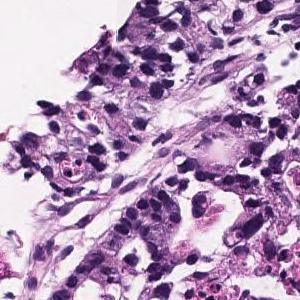
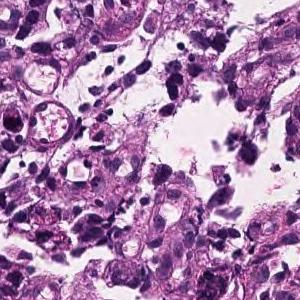
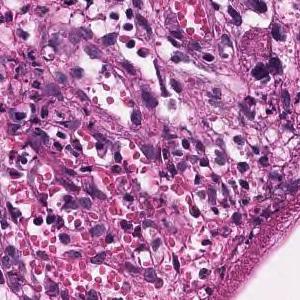
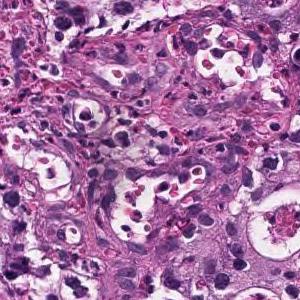
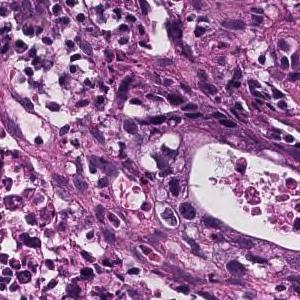
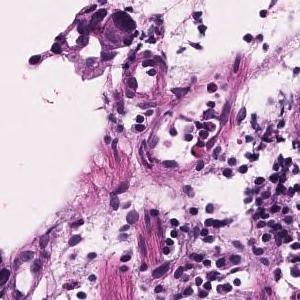
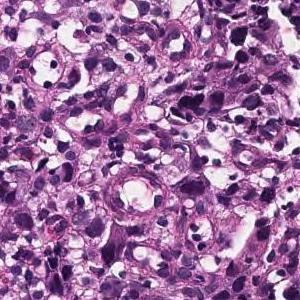
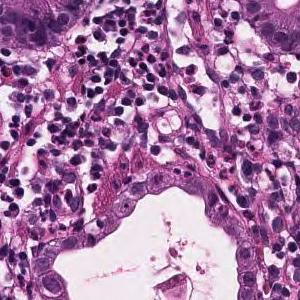
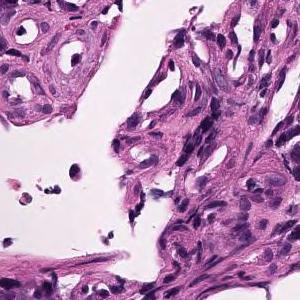
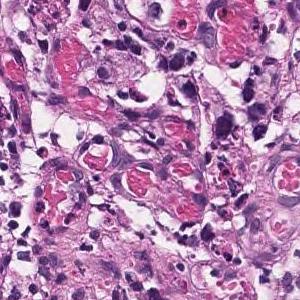
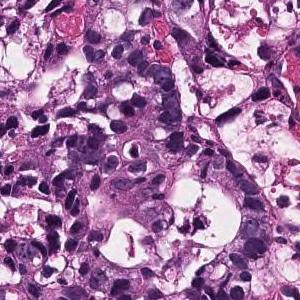
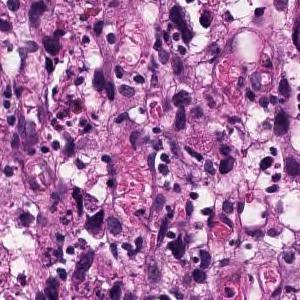
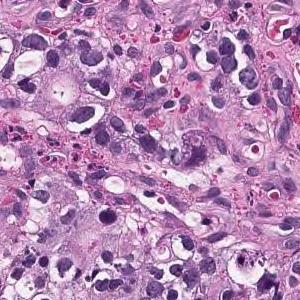
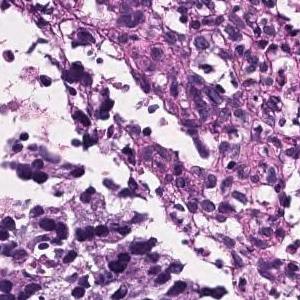
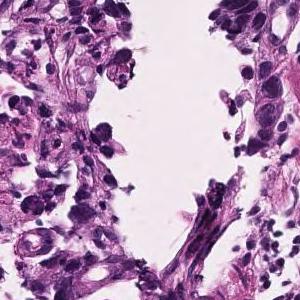
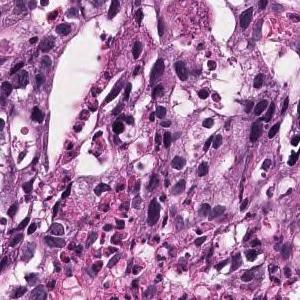
20× magnification · 16 tiles cut from one stomach biopsy slide · 300×300 px each.
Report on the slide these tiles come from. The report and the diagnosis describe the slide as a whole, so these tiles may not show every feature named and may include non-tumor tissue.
Tumor tissue consisting of medium-sized, cord-like or irregular glandular infiltration is observed in the superficial epithelium. Poorly differentiated adenocarcinoma, non-solid type or moderately differentiated tubular adenocarcinoma
The non-solid type named here is a Japanese Classification of Gastric Carcinoma category.
